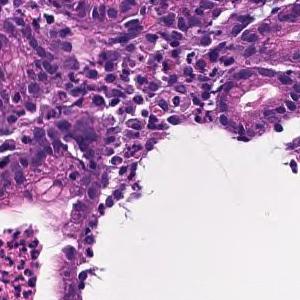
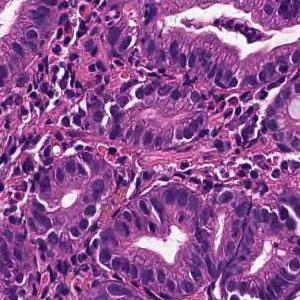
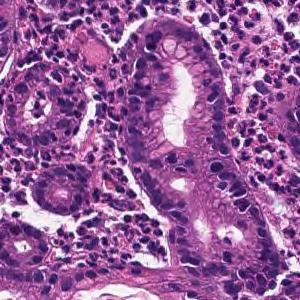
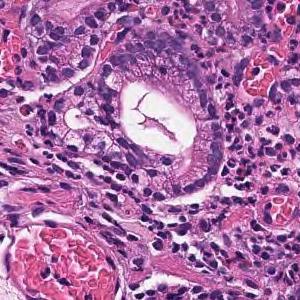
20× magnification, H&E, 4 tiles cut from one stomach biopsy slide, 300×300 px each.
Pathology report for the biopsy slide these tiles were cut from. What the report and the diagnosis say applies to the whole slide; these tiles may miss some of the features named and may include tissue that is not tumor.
Tumor tissue infiltrated and proliferated with small to medium-sized irregular tubules is observed in the superficial epithelium. Well differentiated tubular adenocarcinoma
